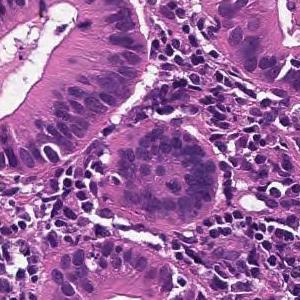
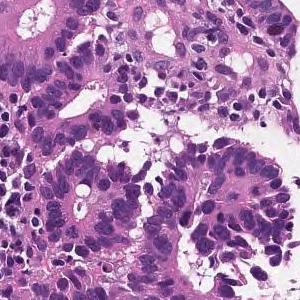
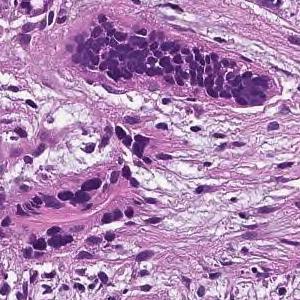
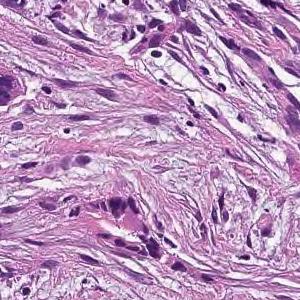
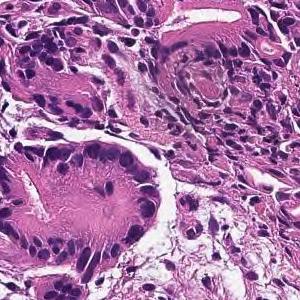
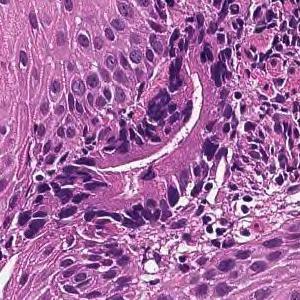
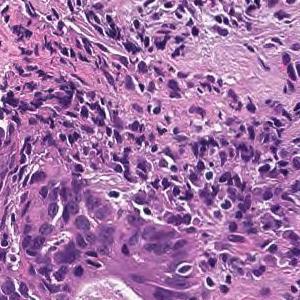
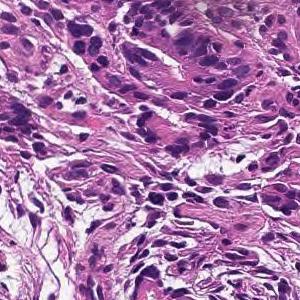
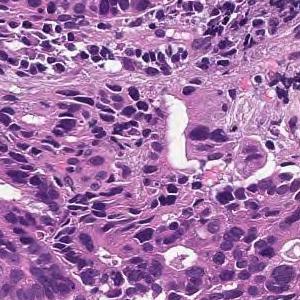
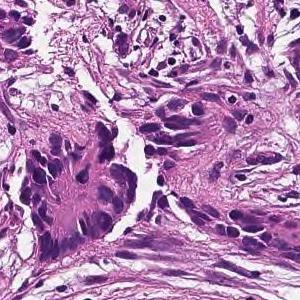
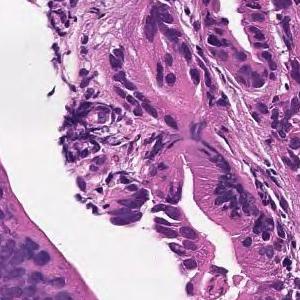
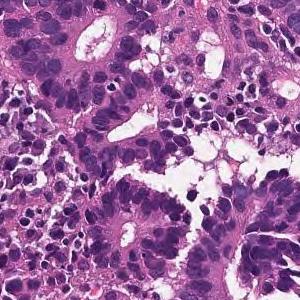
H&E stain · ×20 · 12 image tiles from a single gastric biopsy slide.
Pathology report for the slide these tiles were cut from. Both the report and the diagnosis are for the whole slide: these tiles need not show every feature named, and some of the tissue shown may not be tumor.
From the superficial epithelium to the muscularis mucosae, tumor tissue consisting of medium-sized and irregular glandular ducts infiltrating is observed. Well differentiated tubular adenocarcinoma
